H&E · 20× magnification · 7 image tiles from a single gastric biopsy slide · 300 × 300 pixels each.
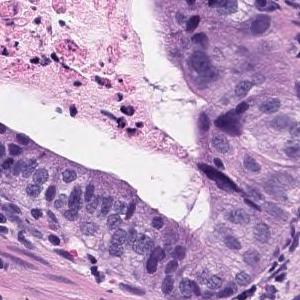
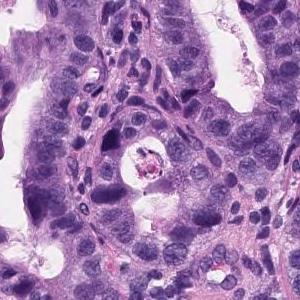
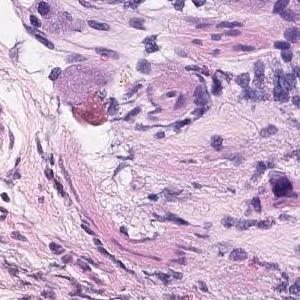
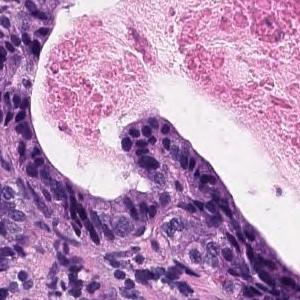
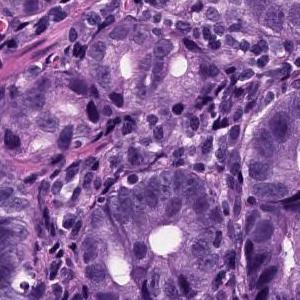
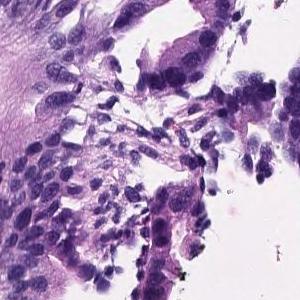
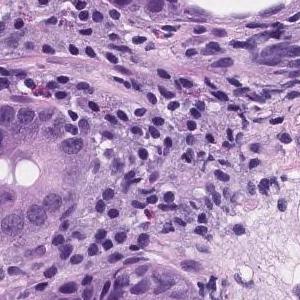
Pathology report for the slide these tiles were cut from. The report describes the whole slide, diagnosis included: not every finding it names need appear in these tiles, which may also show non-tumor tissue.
Tumor tissue consisting of medium-sized and irregular ducts is observed infiltrating in the superficial epithelium. Tumor cells are highly columnar, with nuclei aligned basolaterally and polarized. Well differentiated tubular adenocarcinoma.
